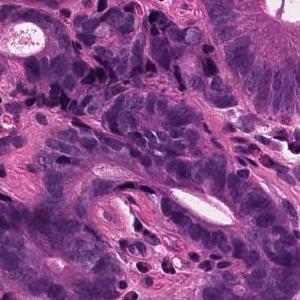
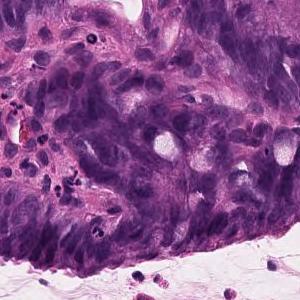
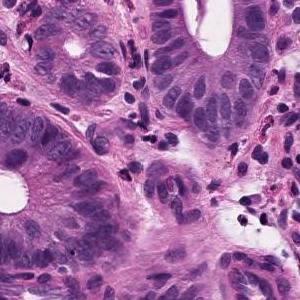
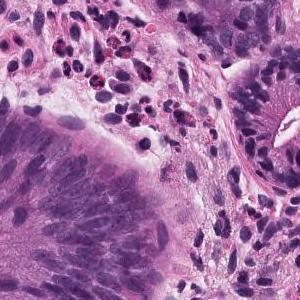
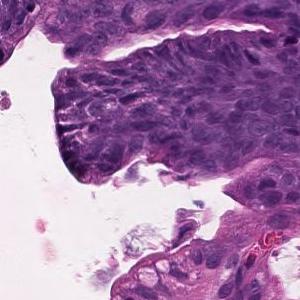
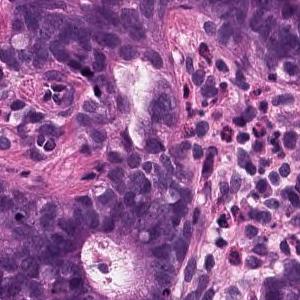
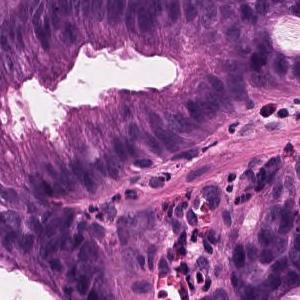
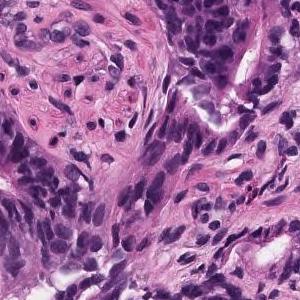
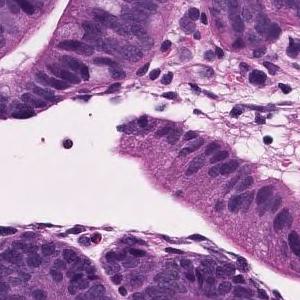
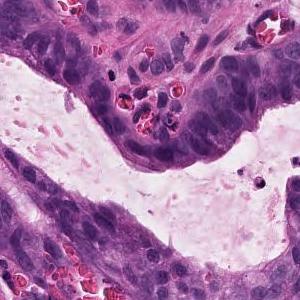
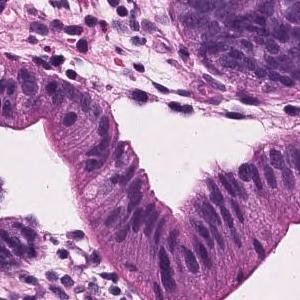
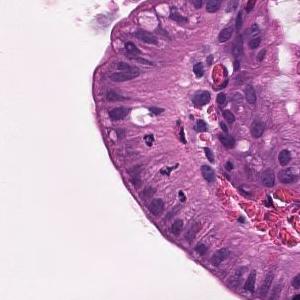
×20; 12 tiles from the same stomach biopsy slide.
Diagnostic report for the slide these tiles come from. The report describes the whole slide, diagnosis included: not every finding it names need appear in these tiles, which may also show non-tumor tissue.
Atypical ducts proliferating while irregularly fusing in the lateral direction is observed. Well differentiated tubular adenocarcinoma
